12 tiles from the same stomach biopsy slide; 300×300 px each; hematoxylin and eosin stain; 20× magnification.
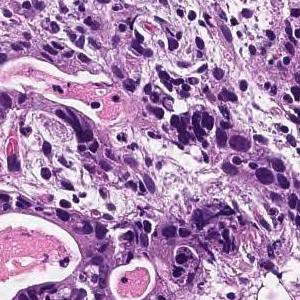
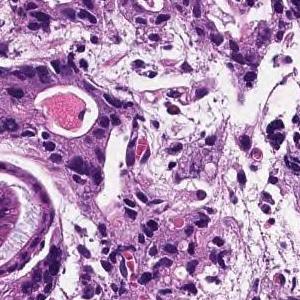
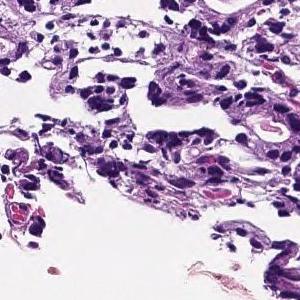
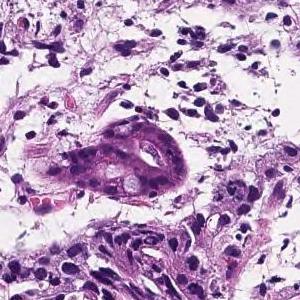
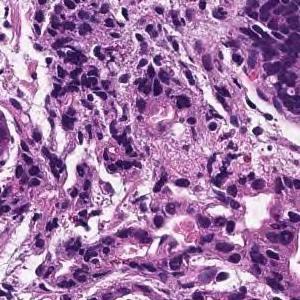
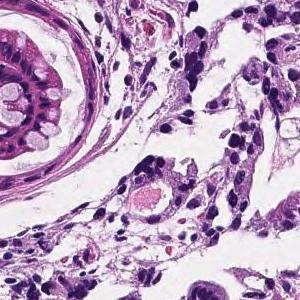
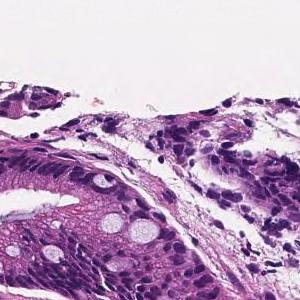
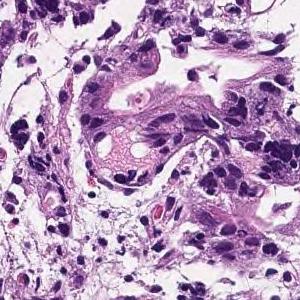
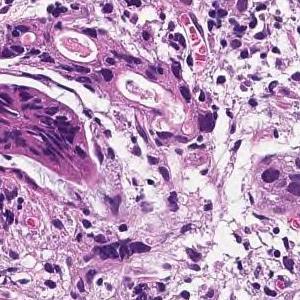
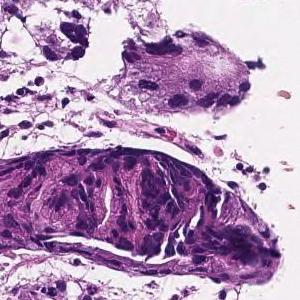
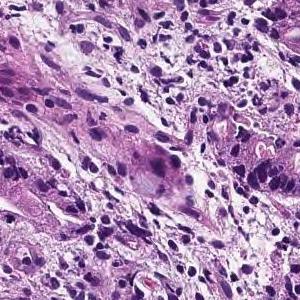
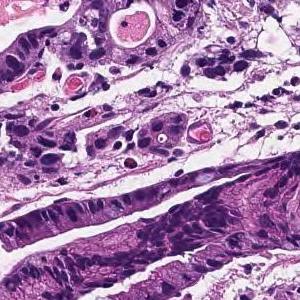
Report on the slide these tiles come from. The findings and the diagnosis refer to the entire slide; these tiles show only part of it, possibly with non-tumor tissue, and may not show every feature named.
In the superficial epithelium, tumor tissue that invades by forming medium-sized to small, irregular ducts is observed. moderately differentiated tubular adenocarcinoma.
